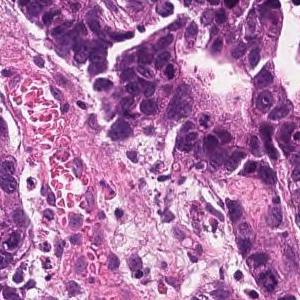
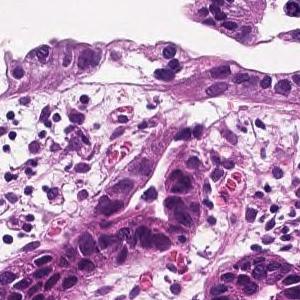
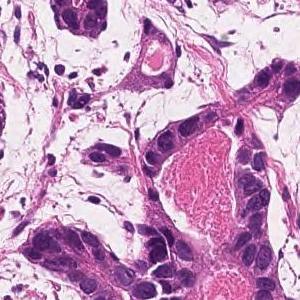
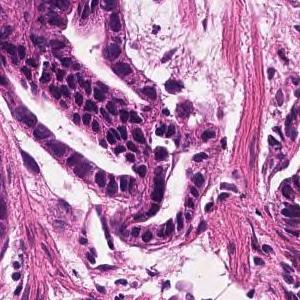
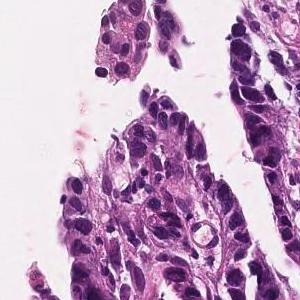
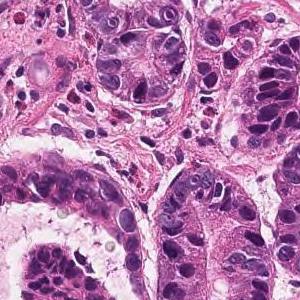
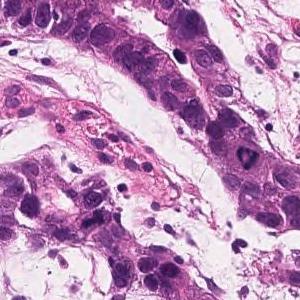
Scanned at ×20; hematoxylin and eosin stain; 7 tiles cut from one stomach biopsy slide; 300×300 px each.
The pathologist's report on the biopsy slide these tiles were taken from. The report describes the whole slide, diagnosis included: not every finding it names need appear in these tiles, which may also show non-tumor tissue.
In the superficial epithelium, tumor tissue that invades by forming medium-sized to small, irregular ducts is observed. Well differentiated tubular adenocarcinoma.
